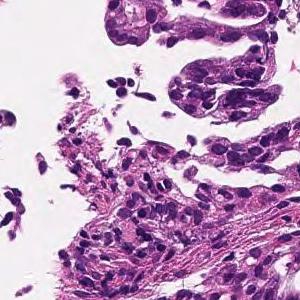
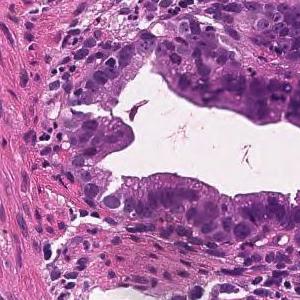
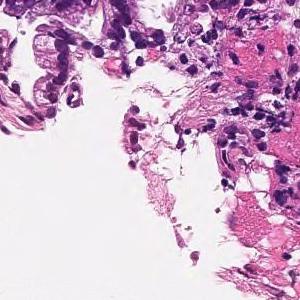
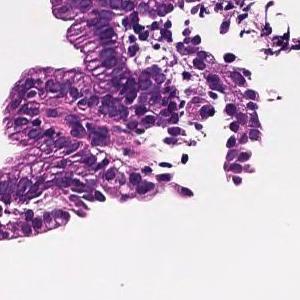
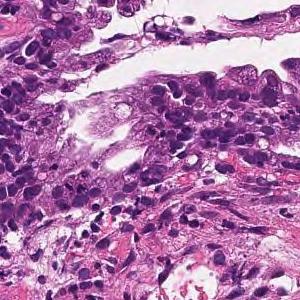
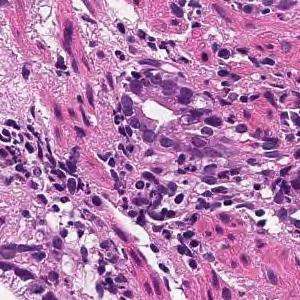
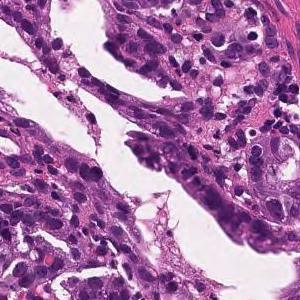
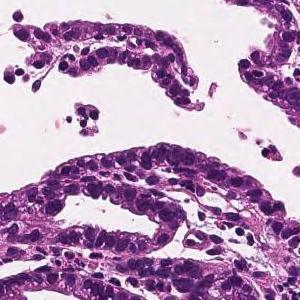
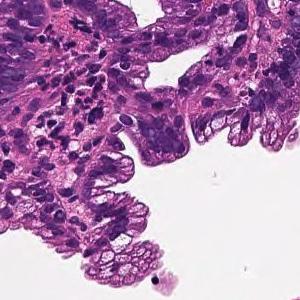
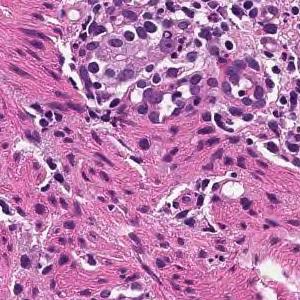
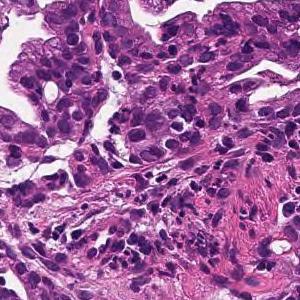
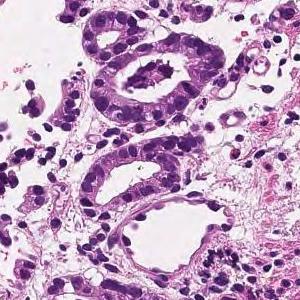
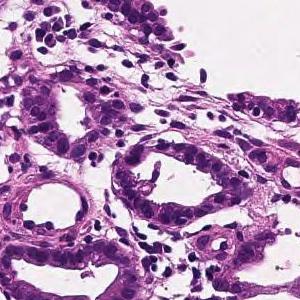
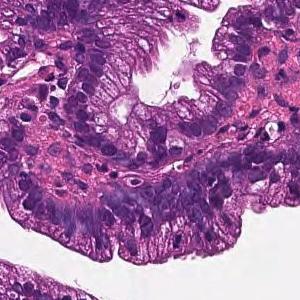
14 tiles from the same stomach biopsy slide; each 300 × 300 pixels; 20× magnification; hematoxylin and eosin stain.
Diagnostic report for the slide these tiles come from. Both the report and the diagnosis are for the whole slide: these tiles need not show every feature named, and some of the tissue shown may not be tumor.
On the superficial epithelium, tumor tissue that infiltrates by forming medium-sized papillary or small irregular ducts is observed. Papillary adenocarcinoma
